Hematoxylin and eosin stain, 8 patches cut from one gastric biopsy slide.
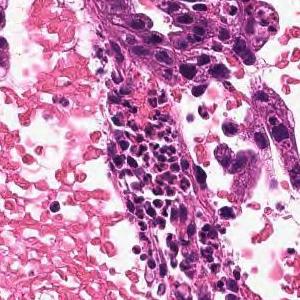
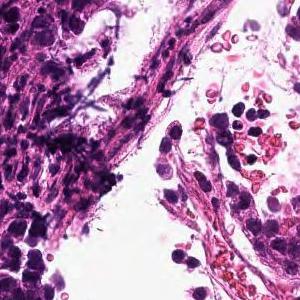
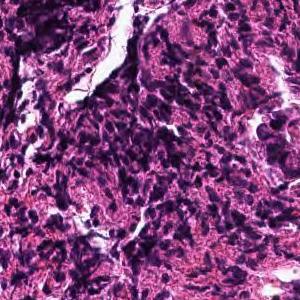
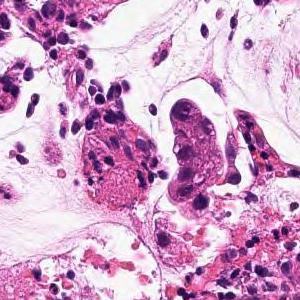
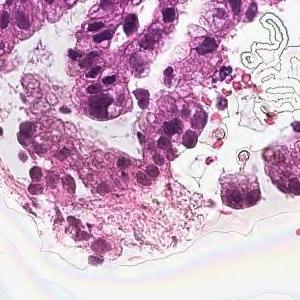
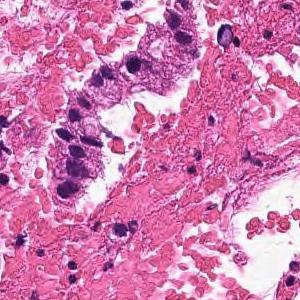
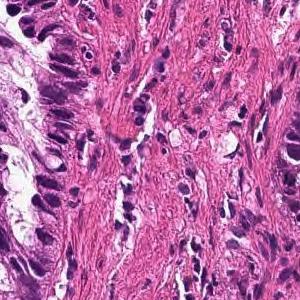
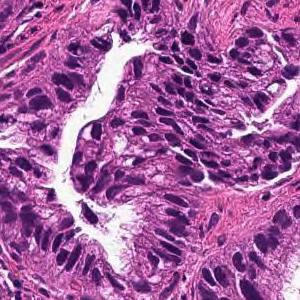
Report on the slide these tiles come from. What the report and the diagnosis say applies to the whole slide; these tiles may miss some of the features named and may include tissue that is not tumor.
From the superficial epithelium to the muscularis mucosae, tumor tissue infiltrating by forming medium-sized irregular gland ducts is observed. Well differentiated tubular adenocarcinoma
